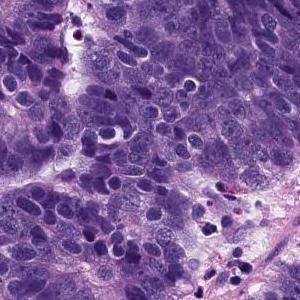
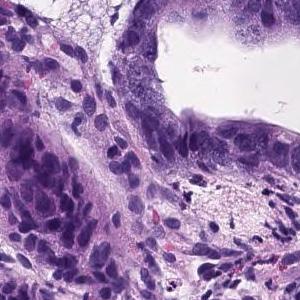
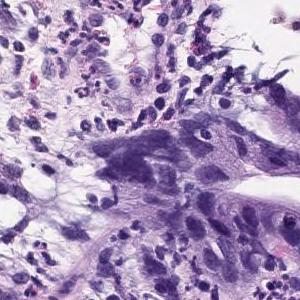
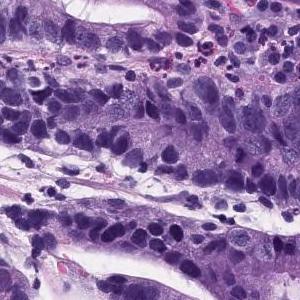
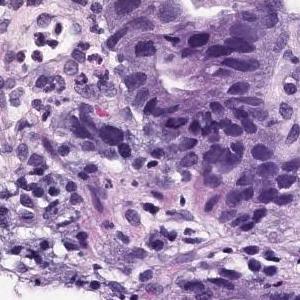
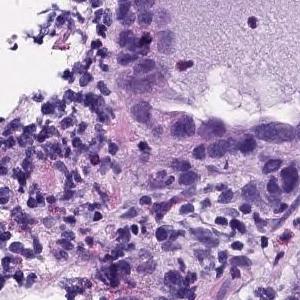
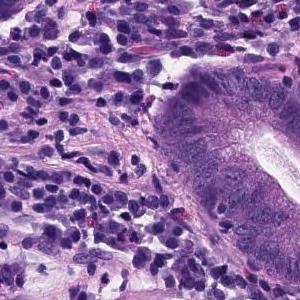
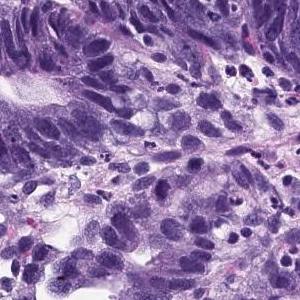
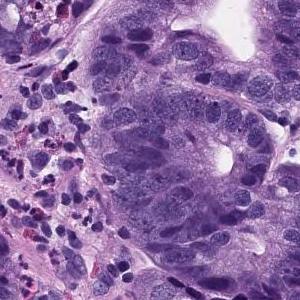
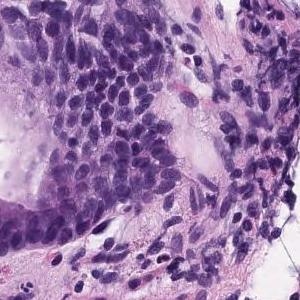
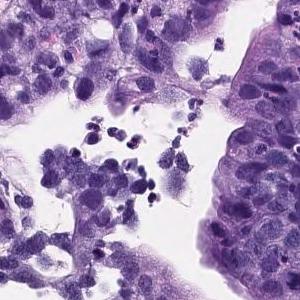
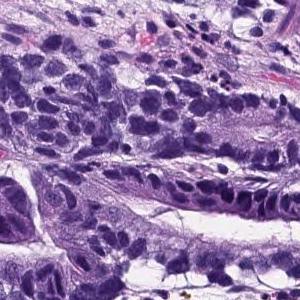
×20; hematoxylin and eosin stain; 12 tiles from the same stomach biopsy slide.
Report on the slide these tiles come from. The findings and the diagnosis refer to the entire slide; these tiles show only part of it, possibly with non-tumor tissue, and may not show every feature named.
Tumor tissue consisting of large papillary structures is found in the superficial epithelium. Papillary adenocarcinoma.
